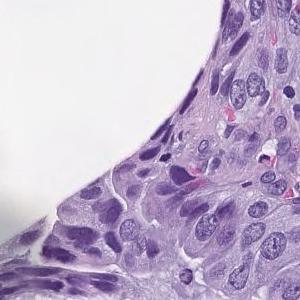
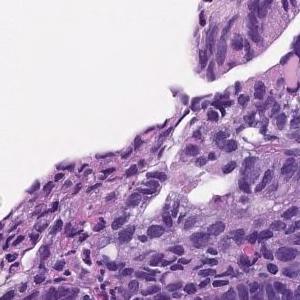
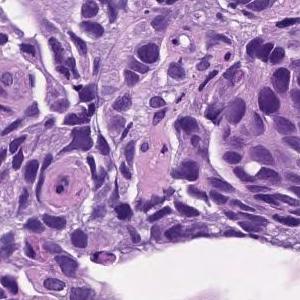
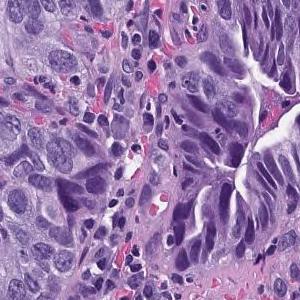
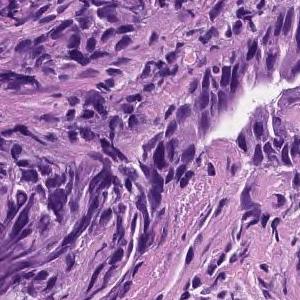
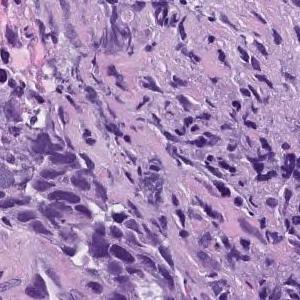
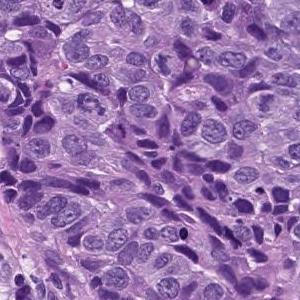
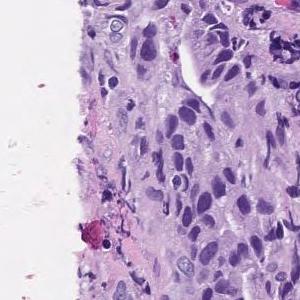
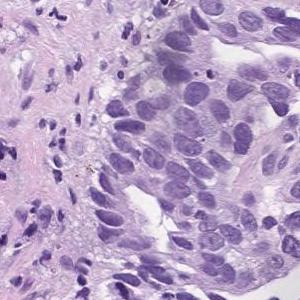
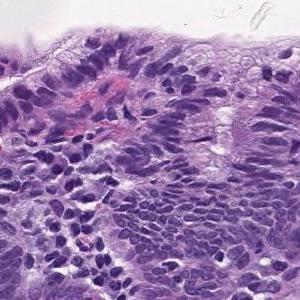
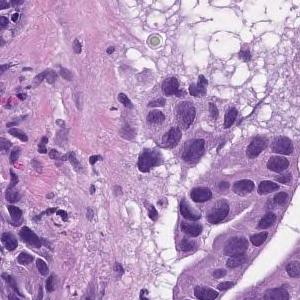
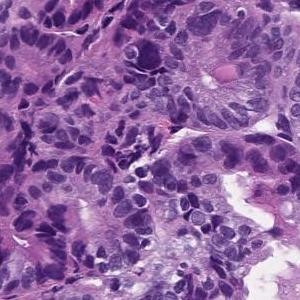
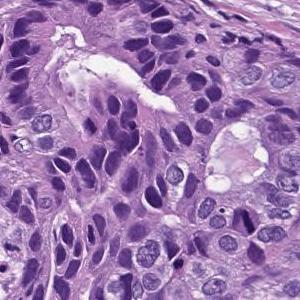
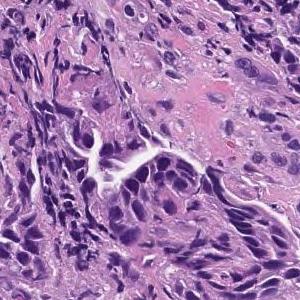
Hematoxylin and eosin stain · 14 tiles from the same stomach biopsy slide.
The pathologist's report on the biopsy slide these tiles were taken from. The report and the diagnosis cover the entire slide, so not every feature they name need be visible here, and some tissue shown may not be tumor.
In the superficial epithelium, tumor tissue that invades by forming medium-sized to small, irregular ducts is observed. moderately differentiated tubular adenocarcinoma.
